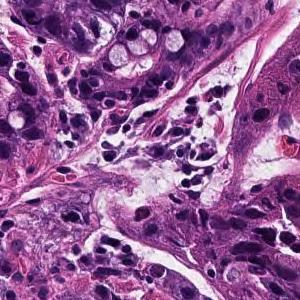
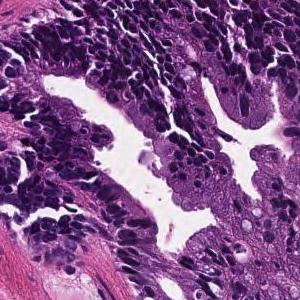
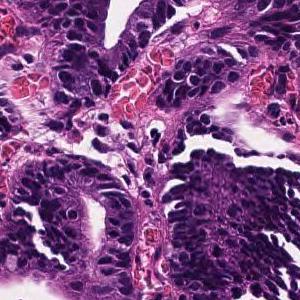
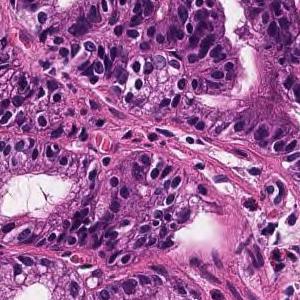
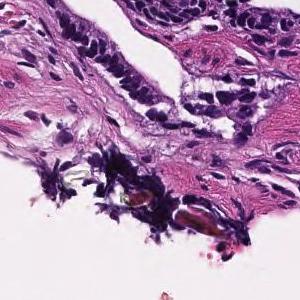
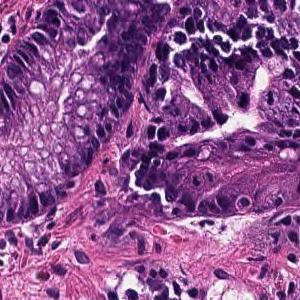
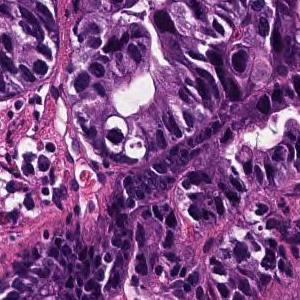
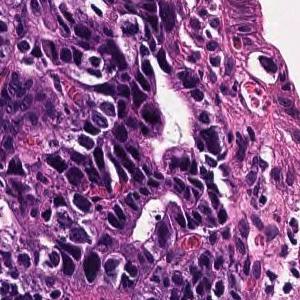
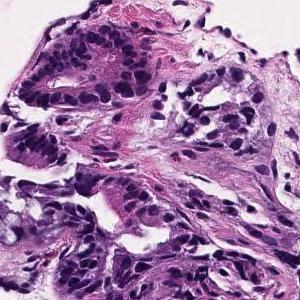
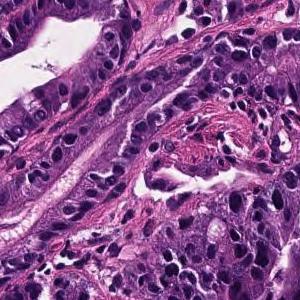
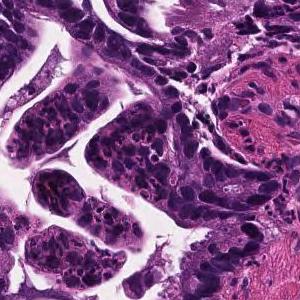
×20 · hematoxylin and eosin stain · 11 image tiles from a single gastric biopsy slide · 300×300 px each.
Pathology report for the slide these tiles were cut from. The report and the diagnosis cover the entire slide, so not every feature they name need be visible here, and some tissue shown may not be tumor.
Tumor cells are large, highly columnar, large club-shaped nuclei, and are associated with chromatin aggregation. Papillary adenocarcinoma.
